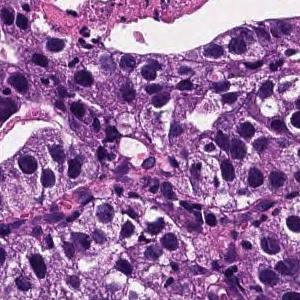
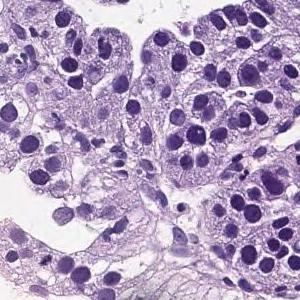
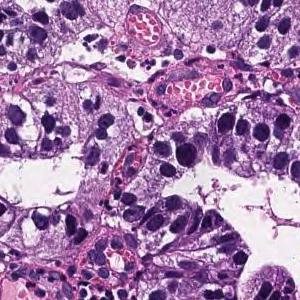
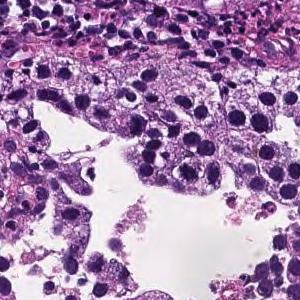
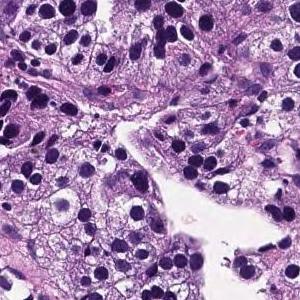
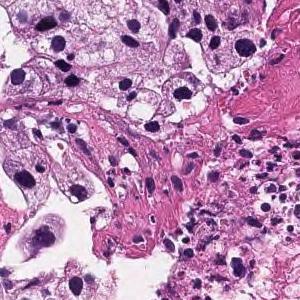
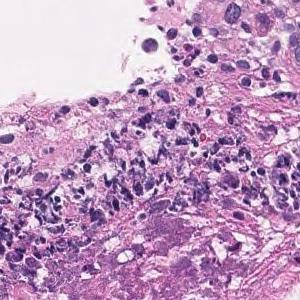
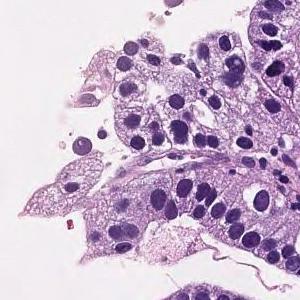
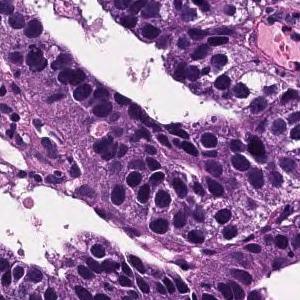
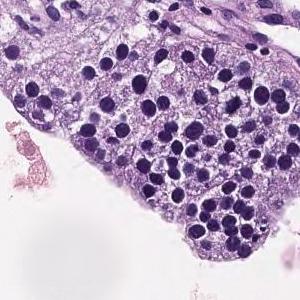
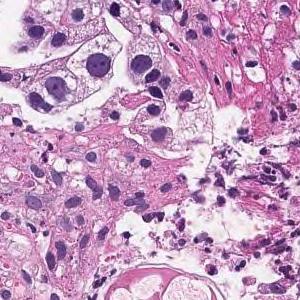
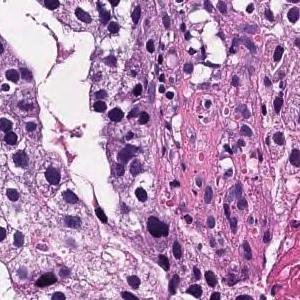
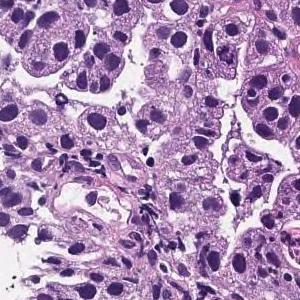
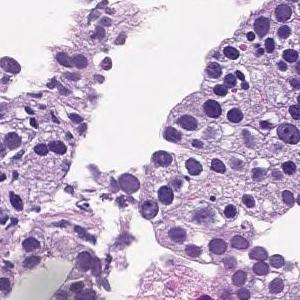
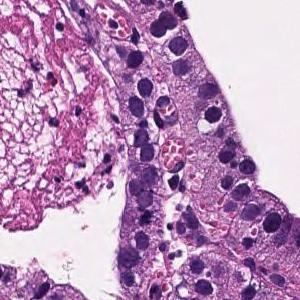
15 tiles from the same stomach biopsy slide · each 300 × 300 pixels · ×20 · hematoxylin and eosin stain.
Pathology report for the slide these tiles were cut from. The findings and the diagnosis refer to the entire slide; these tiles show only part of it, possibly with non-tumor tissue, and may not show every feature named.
On the superficial epithelium, tumor tissue that infiltrates by forming medium-sized papillary or small irregular ducts is observed. Papillary adenocarcinoma
